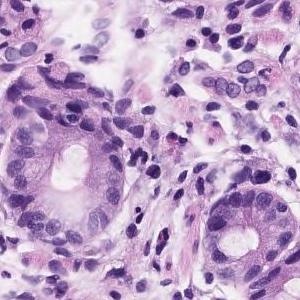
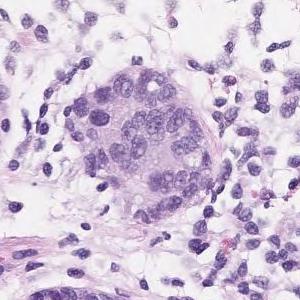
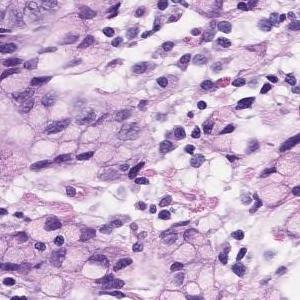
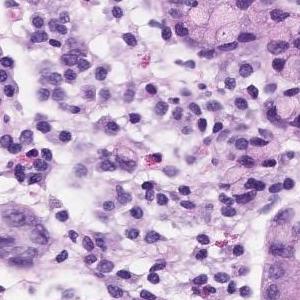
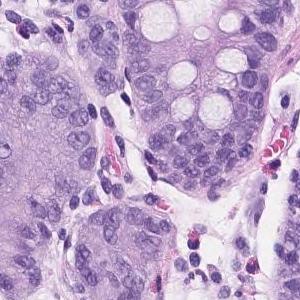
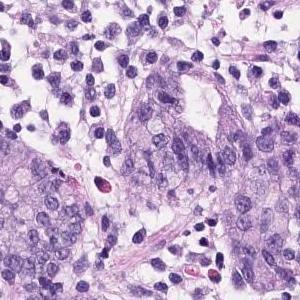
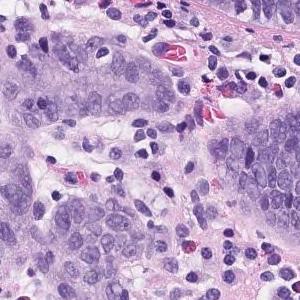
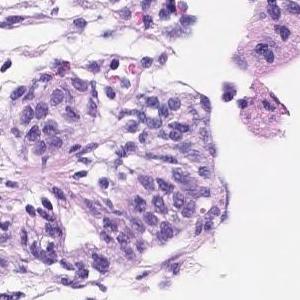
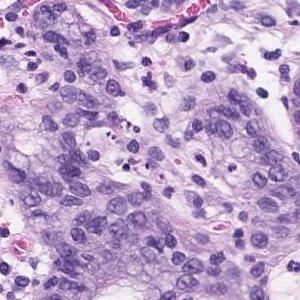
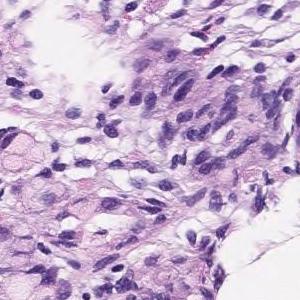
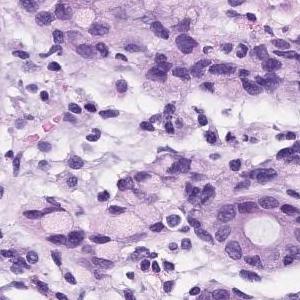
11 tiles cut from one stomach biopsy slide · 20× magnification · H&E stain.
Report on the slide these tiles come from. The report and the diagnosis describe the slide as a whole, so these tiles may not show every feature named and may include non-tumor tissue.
Atypical l cells with atypical nuclei forming diffuse or small irregular atypical ducts and growing. Moderately to poorly differentiated adenocarcinoma (poorly differentiated adenocarcinoma, solid type moderately differentiated tubular adenocarcinoma)
Subtype: Moderately to poorly differentiated adenocarcinoma.
The solid type named here is a Japanese Classification of Gastric Carcinoma category; WHO 2019 calls it tubular adenocarcinoma, poorly differentiated.
